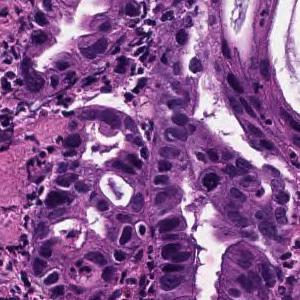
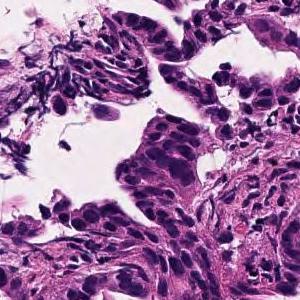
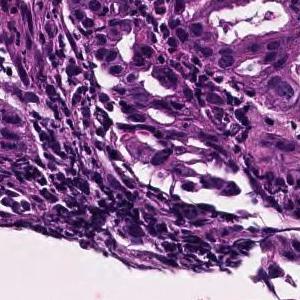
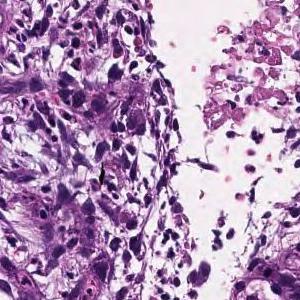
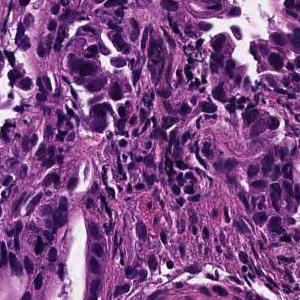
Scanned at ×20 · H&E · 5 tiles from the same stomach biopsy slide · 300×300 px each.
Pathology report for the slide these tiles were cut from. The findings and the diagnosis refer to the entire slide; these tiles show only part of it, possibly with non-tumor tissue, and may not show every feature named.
In the superficial epithelium, medium-sized to small irregular glandular ducts are formed, and in some cases, the glandular ducts are fused or small cord-like infiltrating tumor tissue is observed. moderately differentiated tubular adenocarcinoma
